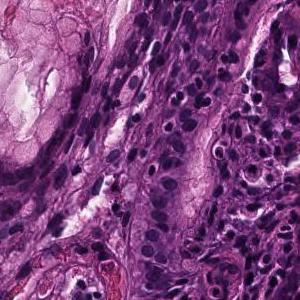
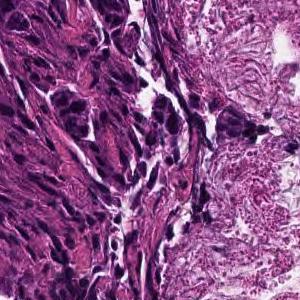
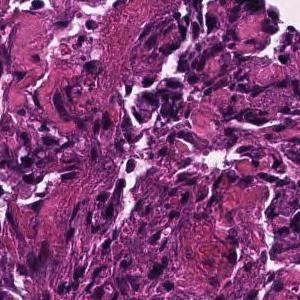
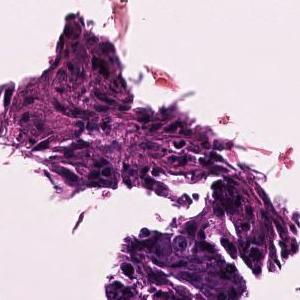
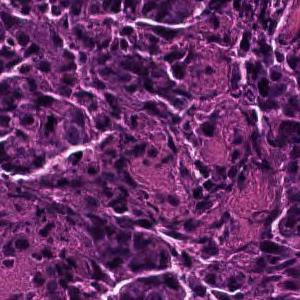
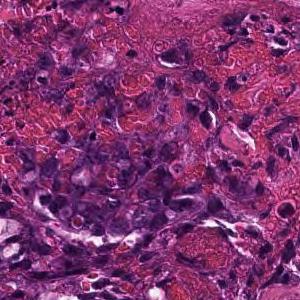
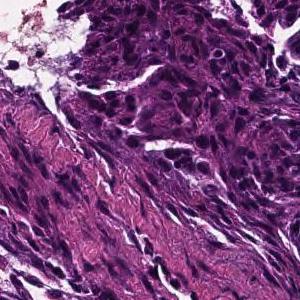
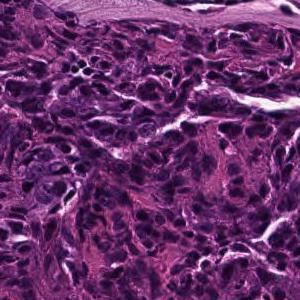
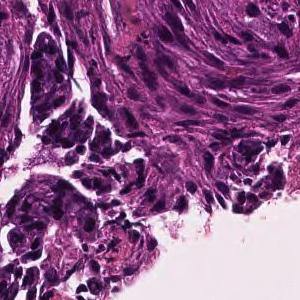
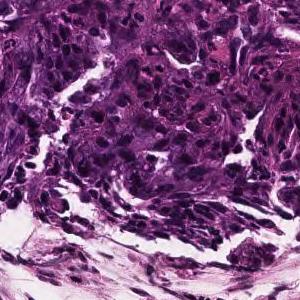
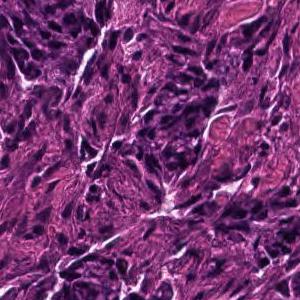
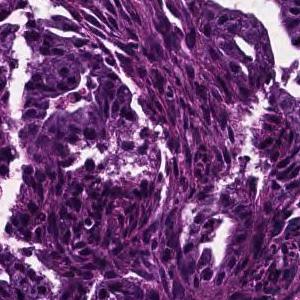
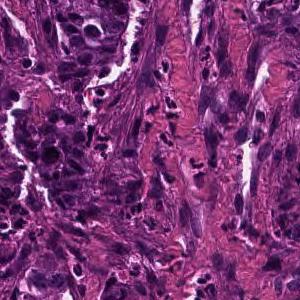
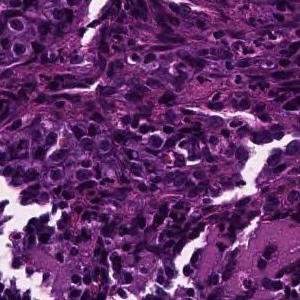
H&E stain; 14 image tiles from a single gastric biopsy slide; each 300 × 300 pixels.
Pathology report for the slide these tiles were cut from. The findings and the diagnosis refer to the entire slide; these tiles show only part of it, possibly with non-tumor tissue, and may not show every feature named.
Tumor tissue consisting of medium-sized, cord-like or irregular glandular infiltration is observed in the superficial epithelium. Poorly differentiated adenocarcinoma, non-solid type or moderately differentiated tubular adenocarcinoma
Subtype: Moderately to poorly differentiated adenocarcinoma.
The non-solid type named here is a Japanese Classification of Gastric Carcinoma category.
